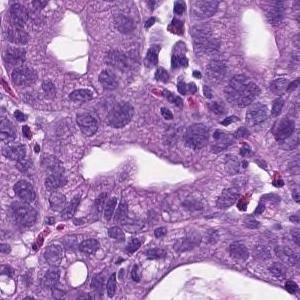
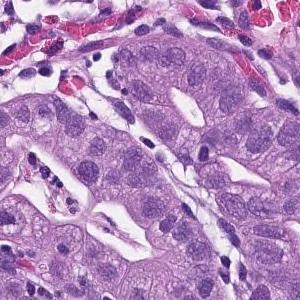
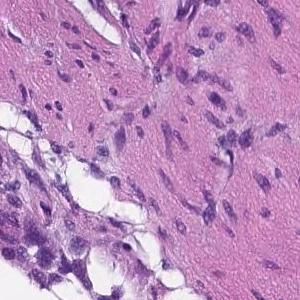
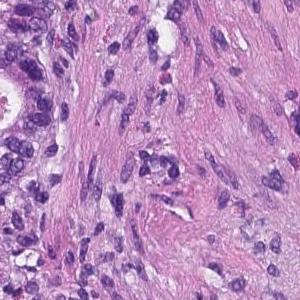
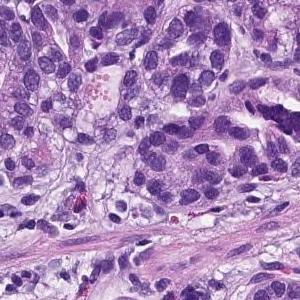
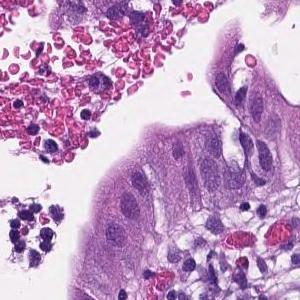
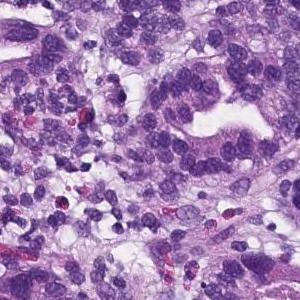
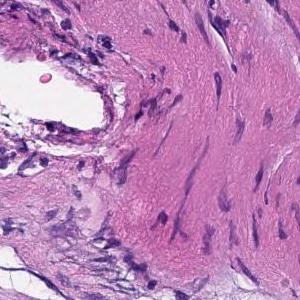
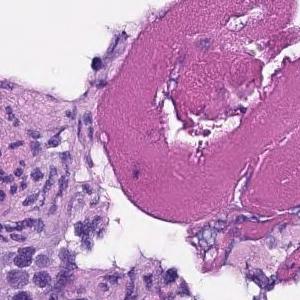
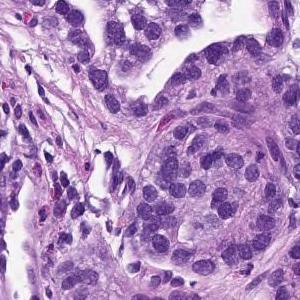
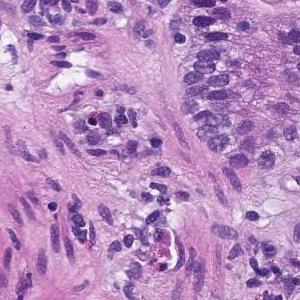
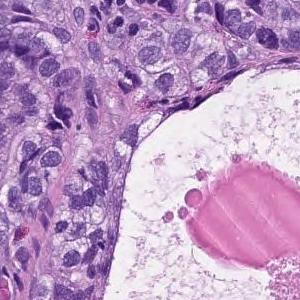
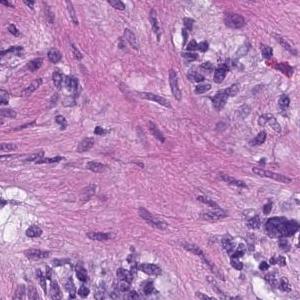
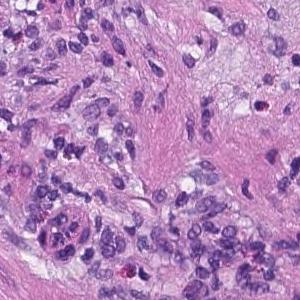
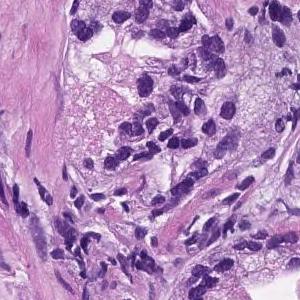
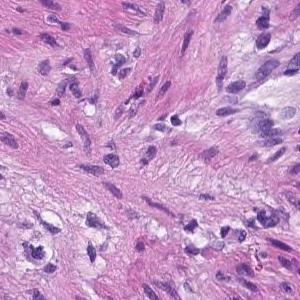
16 tiles from the same stomach biopsy slide, 300 × 300 pixels each.
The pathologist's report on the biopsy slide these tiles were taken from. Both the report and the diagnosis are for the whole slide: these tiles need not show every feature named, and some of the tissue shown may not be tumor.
From the superficial epithelium to the muscularis mucosae, tumor tissue consisting of medium-sized and irregular glandular ducts infiltrating is observed. Well differentiated tubular adenocarcinoma
